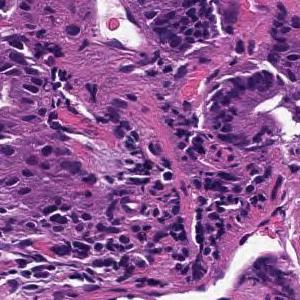
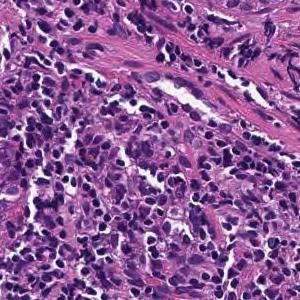
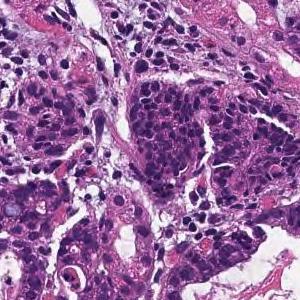
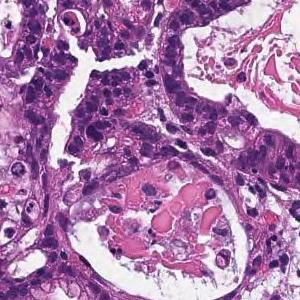
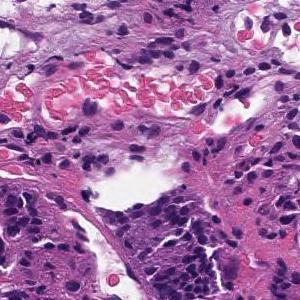
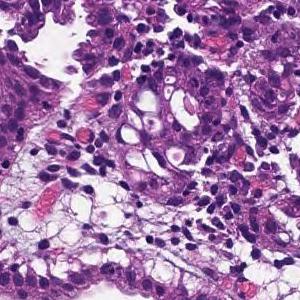
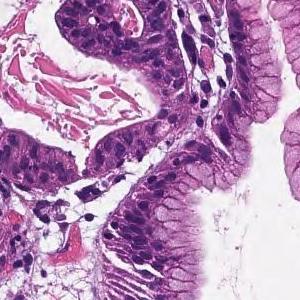
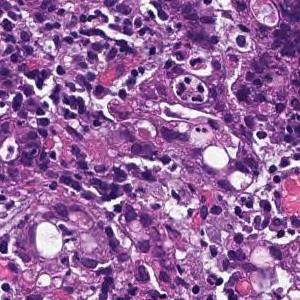
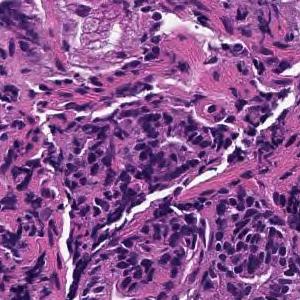
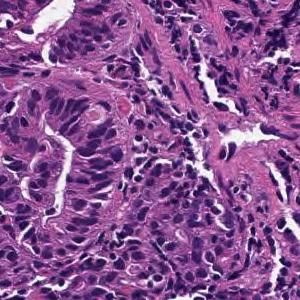
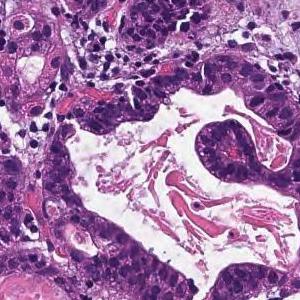
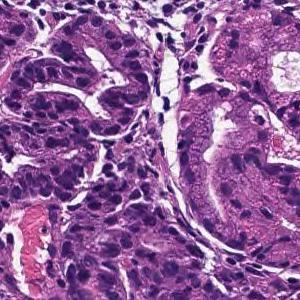
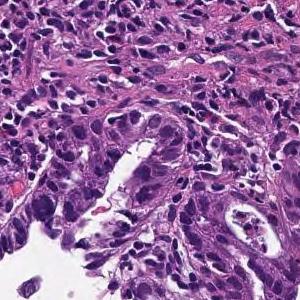
13 tiles cut from one stomach biopsy slide · 300×300 px each · scanned at ×20 · hematoxylin and eosin stain.
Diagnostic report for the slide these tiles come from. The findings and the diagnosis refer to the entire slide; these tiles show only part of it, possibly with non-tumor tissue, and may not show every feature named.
On the superficial epithelium, tumor tissue consisting of large irregular glandular ducts partially fused and infiltrated is observed. Well to moderately differentiated tubular adenocarcinoma (well differentiated tubular adenocarcinoma, moderately differentiated tubular adenocarcinoma)
Tumor subtype: well to moderately differentiated tubular adenocarcinoma.
